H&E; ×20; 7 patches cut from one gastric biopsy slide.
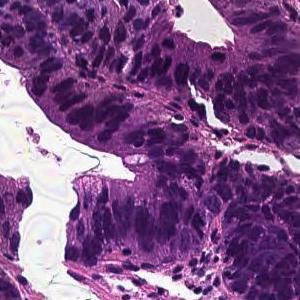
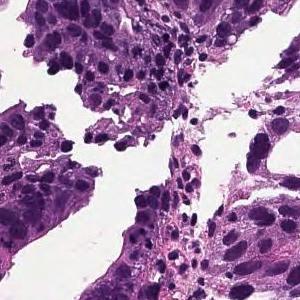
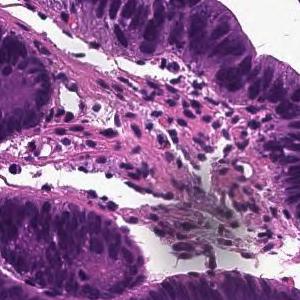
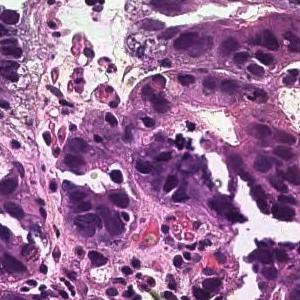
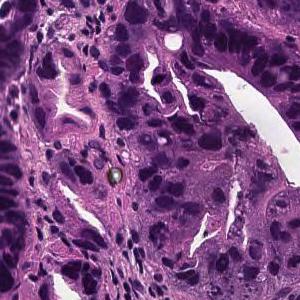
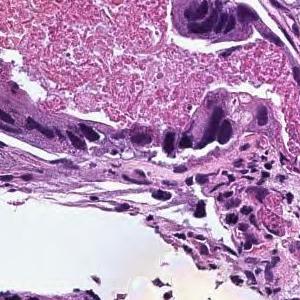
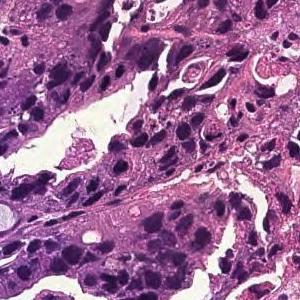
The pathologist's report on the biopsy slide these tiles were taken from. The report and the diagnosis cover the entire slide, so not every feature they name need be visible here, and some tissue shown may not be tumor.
In the superficial epithelium, tumor tissue that invades by forming medium-sized to small, irregular ducts is observed. moderately differentiated tubular adenocarcinoma.
